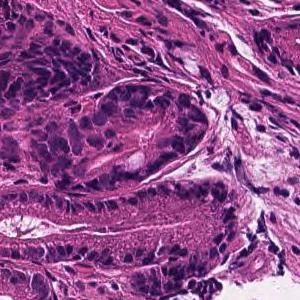
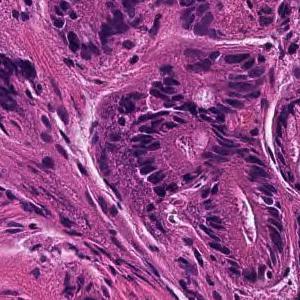
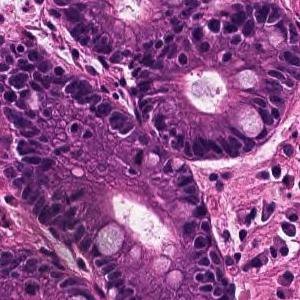
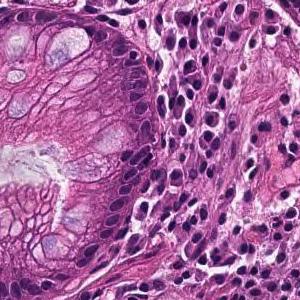
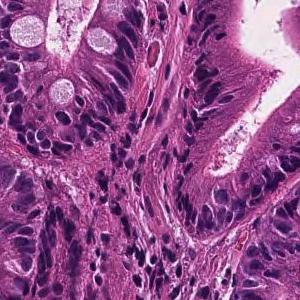
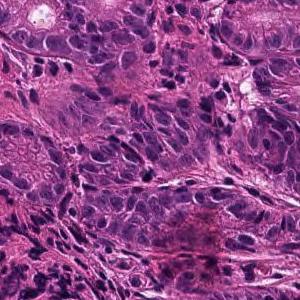
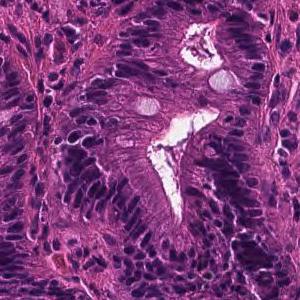
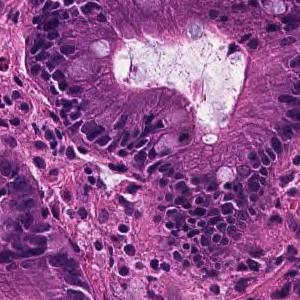
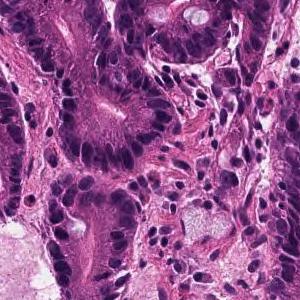
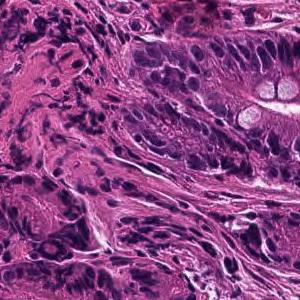
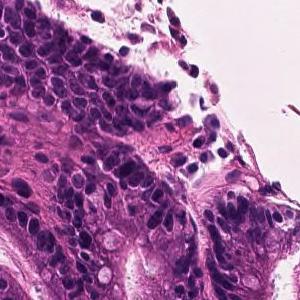
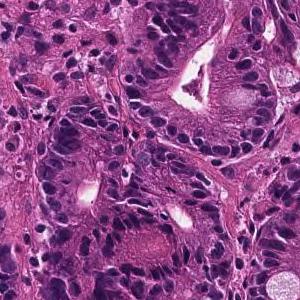
H&E · 12 tiles cut from one stomach biopsy slide · each 300 × 300 pixels.
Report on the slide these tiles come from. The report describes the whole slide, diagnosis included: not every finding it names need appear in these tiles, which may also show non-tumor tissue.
Medium to small, irregular glandular ducts are formed in the superficial epithelium, and in some cases, the glandular ducts are fused to show solid alveolar lesions and infiltrating tumor tissue is observed. Moderately to poorly differentiated adenocarcinoma.
